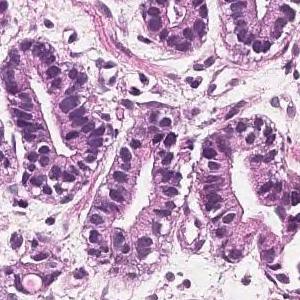
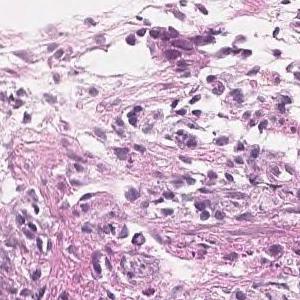
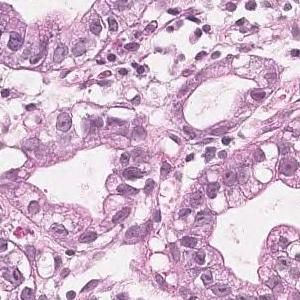
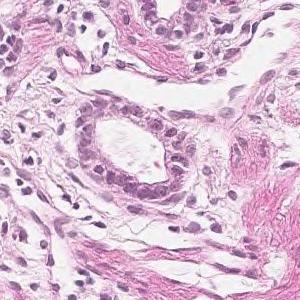
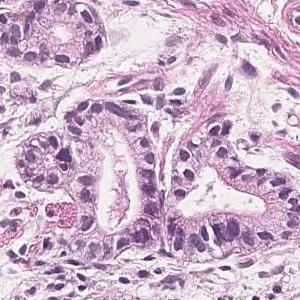
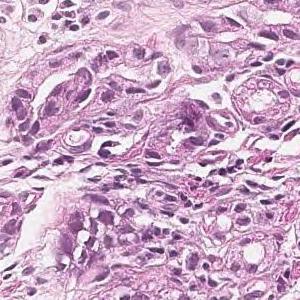
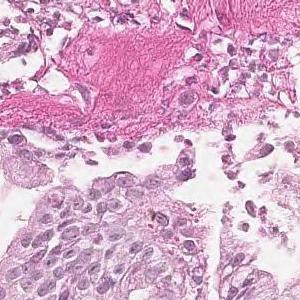
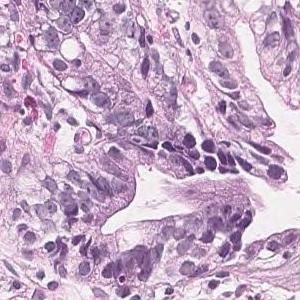
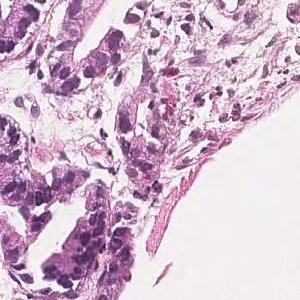
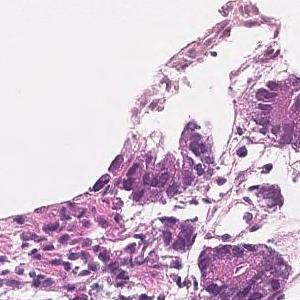
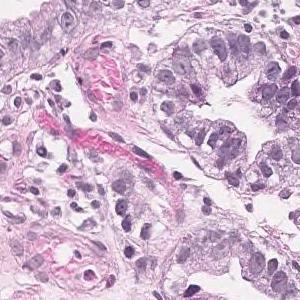
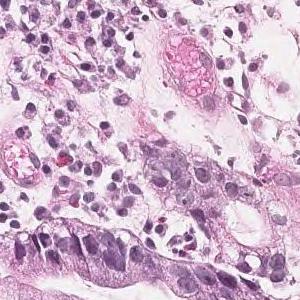
20× magnification; H&E; 12 tiles from the same stomach biopsy slide; 300×300 px each.
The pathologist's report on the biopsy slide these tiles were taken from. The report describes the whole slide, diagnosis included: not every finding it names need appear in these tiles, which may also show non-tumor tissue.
In the superficial epithelium, tumor tissue that invades by forming medium-sized to small, irregular ducts is observed. moderately differentiated tubular adenocarcinoma.
